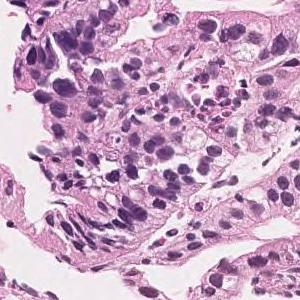
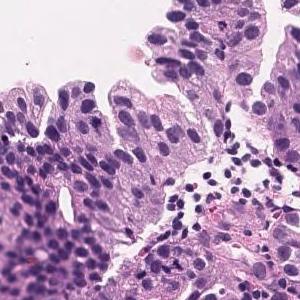
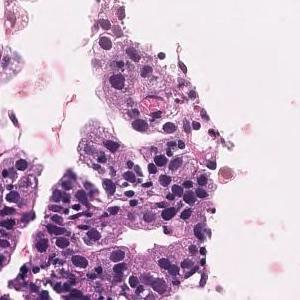
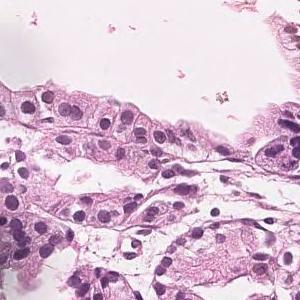
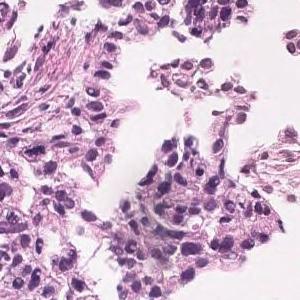
5 image tiles from a single gastric biopsy slide; hematoxylin and eosin stain; scanned at ×20.
Pathology report for the biopsy slide these tiles were cut from. What the report and the diagnosis say applies to the whole slide; these tiles may miss some of the features named and may include tissue that is not tumor.
In the superficial epithelium, tumor tissue that invades by forming medium-sized to small, irregular ducts is observed. moderately differentiated tubular adenocarcinoma.
